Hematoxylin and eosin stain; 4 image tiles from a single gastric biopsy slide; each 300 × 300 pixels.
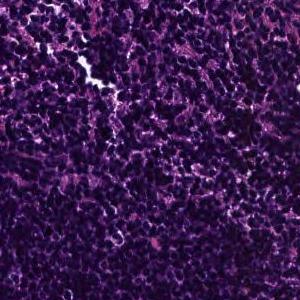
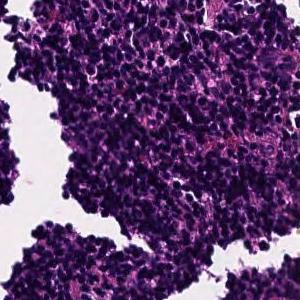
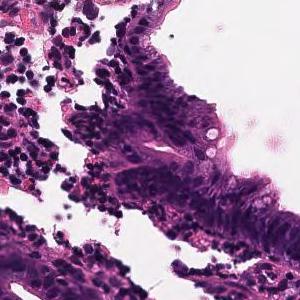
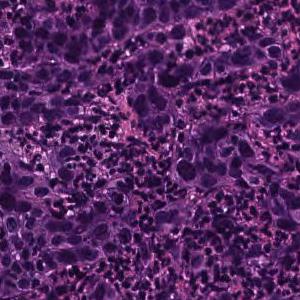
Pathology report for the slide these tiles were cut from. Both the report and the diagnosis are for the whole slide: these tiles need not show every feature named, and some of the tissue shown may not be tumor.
Tumor tissue consisting of cord-like or small, irregular glandular ducts fused and infiltrated is observed in the superficial epithelium. Poorly differentiated adenocarcinoma, non-solid type
The non-solid type named here is a Japanese Classification of Gastric Carcinoma category.
